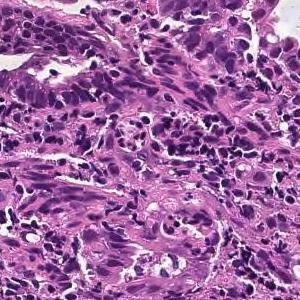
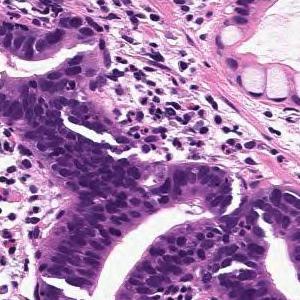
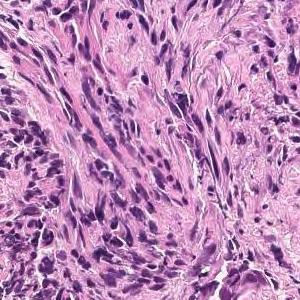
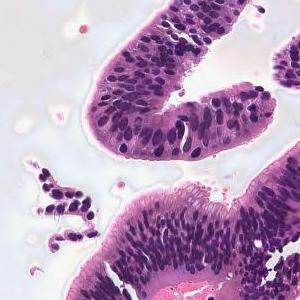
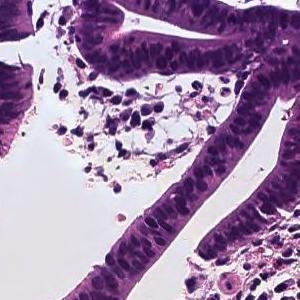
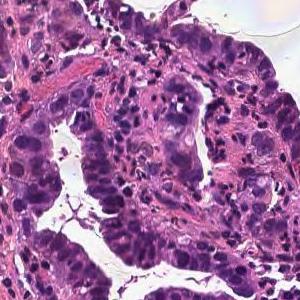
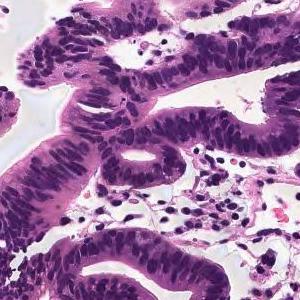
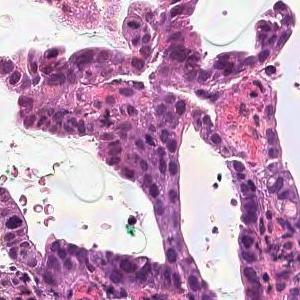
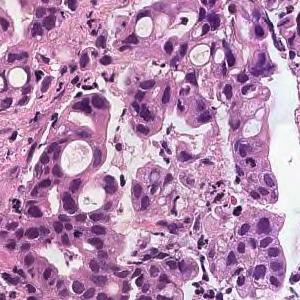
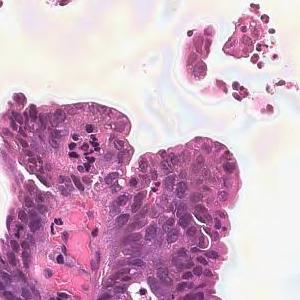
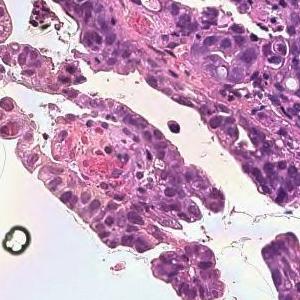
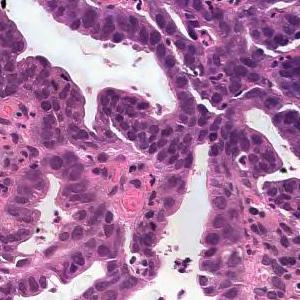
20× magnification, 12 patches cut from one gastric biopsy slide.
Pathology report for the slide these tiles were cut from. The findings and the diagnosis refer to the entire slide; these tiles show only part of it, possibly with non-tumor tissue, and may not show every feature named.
From the superficial epithelium to the muscularis mucosae, tumor tissue consisting of medium-sized and irregular glandular ducts infiltrating is observed. Well differentiated tubular adenocarcinoma
